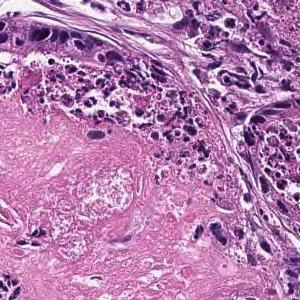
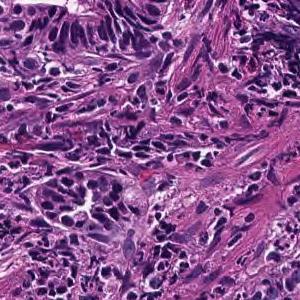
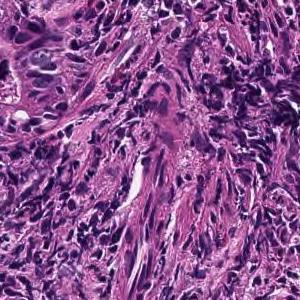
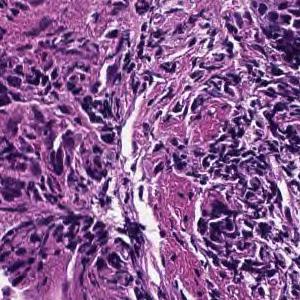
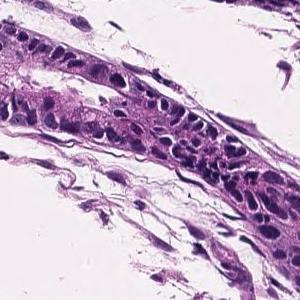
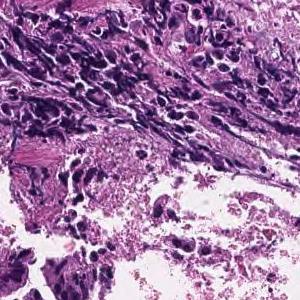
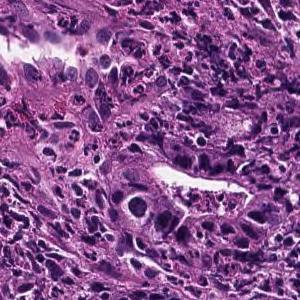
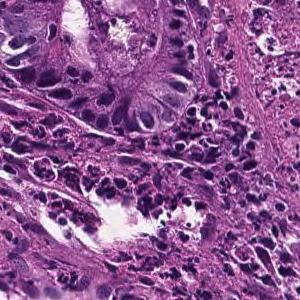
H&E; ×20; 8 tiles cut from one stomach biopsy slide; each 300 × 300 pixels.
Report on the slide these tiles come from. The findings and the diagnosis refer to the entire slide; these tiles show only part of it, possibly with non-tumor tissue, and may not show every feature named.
On the superficial epithelium, tumor tissue consisting of large, irregular glandular ducts partially fused and infiltrated is observed. Well to moderately differentiated tubular adenocarcinoma (well differentiated tubular adenocarcinoma, moderately differentiated tubular adenocarcinoma)
Tumor subtype: well to moderately differentiated tubular adenocarcinoma.
